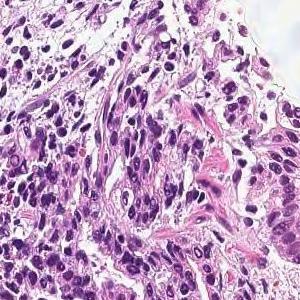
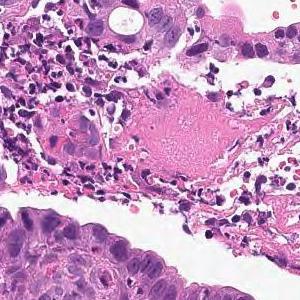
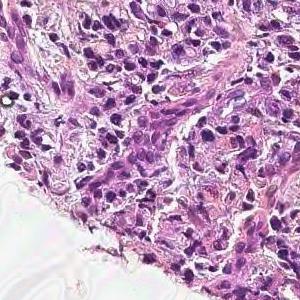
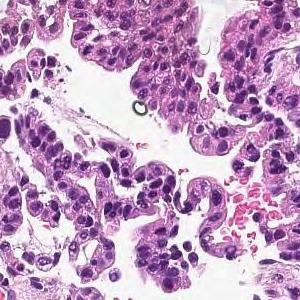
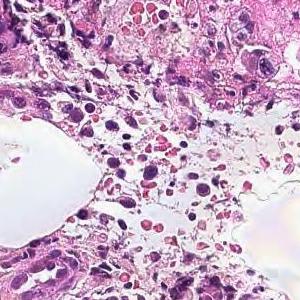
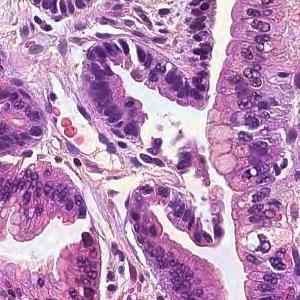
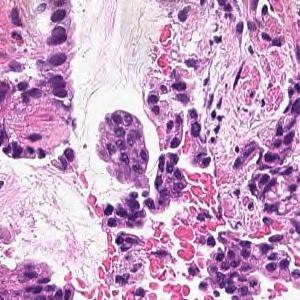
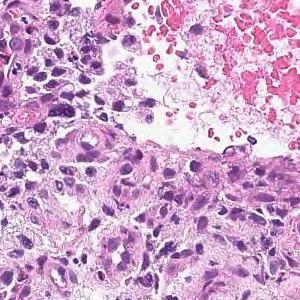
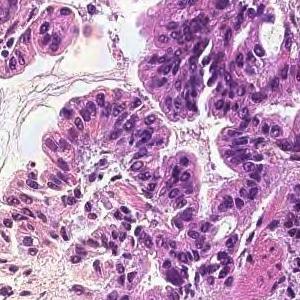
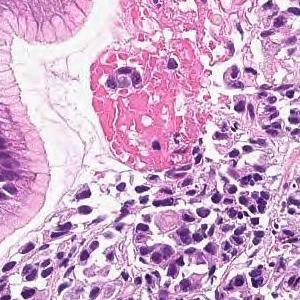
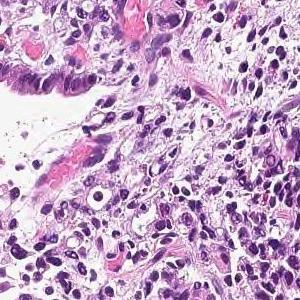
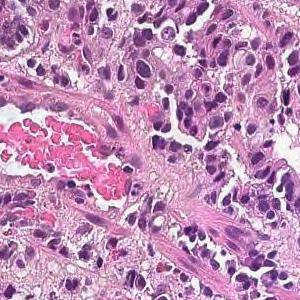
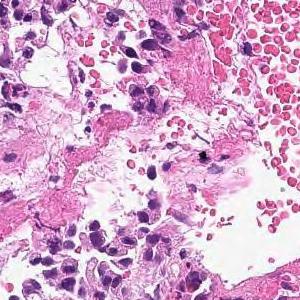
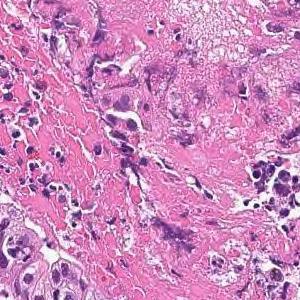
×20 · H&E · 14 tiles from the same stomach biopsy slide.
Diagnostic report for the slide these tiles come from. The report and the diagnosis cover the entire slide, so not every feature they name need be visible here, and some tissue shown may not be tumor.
Tumor tissue consisting of medium-sized, cord-like or irregular glandular infiltration is observed in the superficial epithelium. Poorly differentiated adenocarcinoma, non-solid type or moderately differentiated tubular adenocarcinoma
Histologic type: Moderately to poorly differentiated adenocarcinoma.
"Non-solid type" is a category of the Japanese Classification of Gastric Carcinoma.
